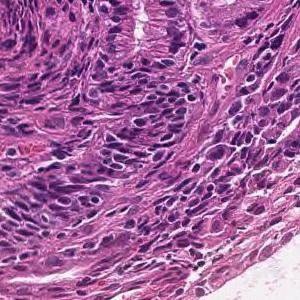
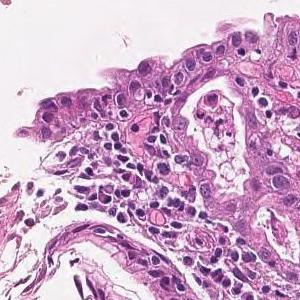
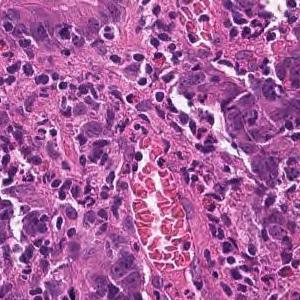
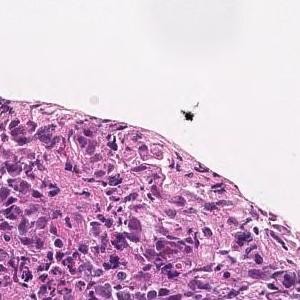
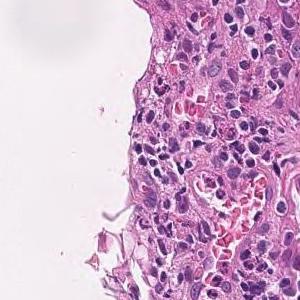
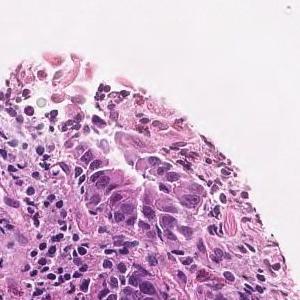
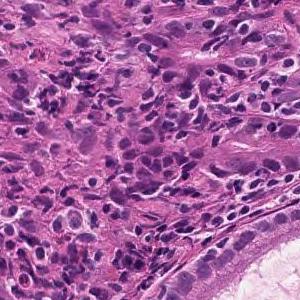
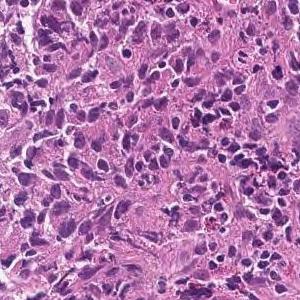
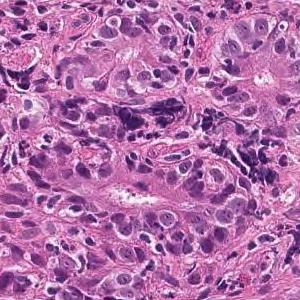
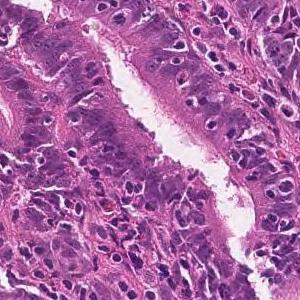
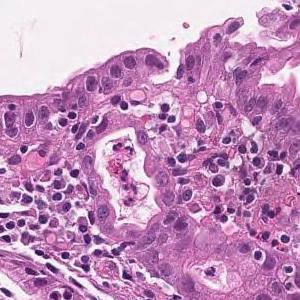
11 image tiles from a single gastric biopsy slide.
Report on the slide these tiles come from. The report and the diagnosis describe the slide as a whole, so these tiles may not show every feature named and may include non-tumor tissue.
Tumor tissue consisting of medium-sized, cord-like or irregular glandular infiltration is observed in the superficial epithelium. Poorly differentiated adenocarcinoma, non-solid type or moderately differentiated tubular adenocarcinoma
Labeled in the dataset as poorly differentiated adenocarcinoma, non-solid type.
The non-solid type named here is a Japanese Classification of Gastric Carcinoma category.
